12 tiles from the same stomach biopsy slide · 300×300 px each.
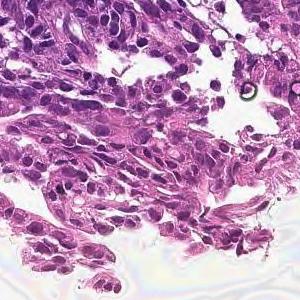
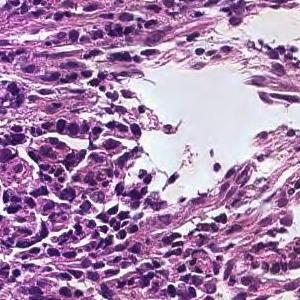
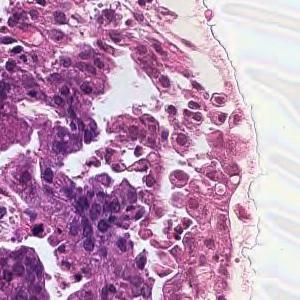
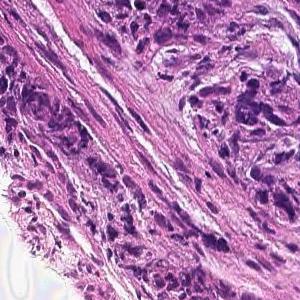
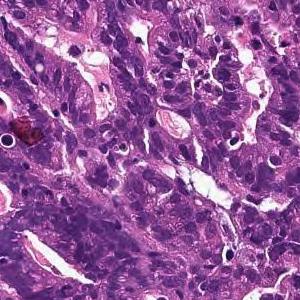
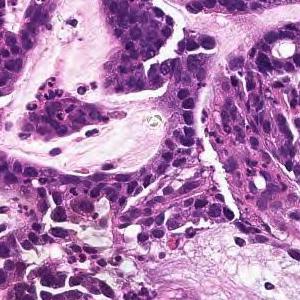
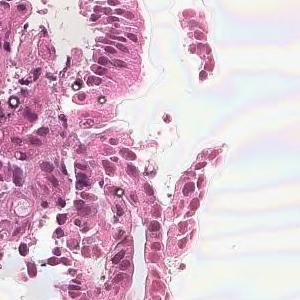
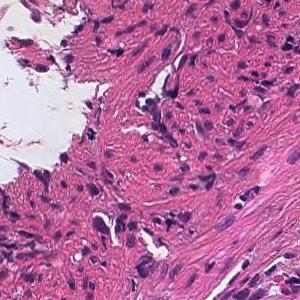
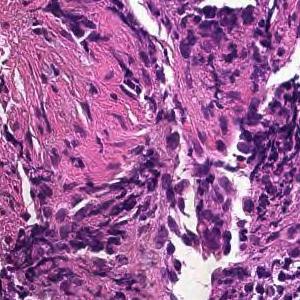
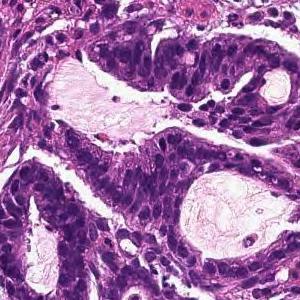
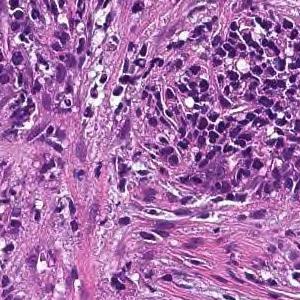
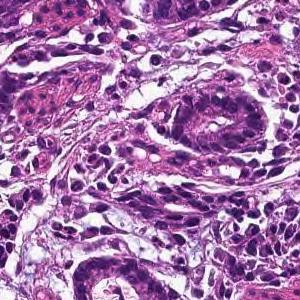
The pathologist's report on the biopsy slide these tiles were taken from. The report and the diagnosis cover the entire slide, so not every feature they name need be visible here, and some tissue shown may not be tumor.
In the superficial epithelium, tumor tissue that invades by forming medium-sized to small, irregular ducts is observed. moderately differentiated tubular adenocarcinoma.
